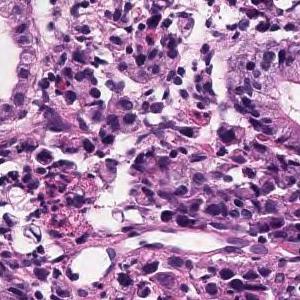
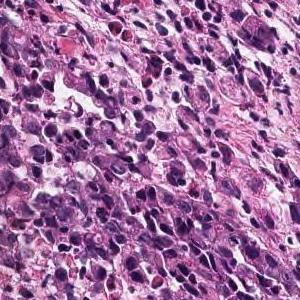
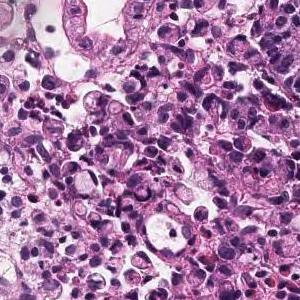
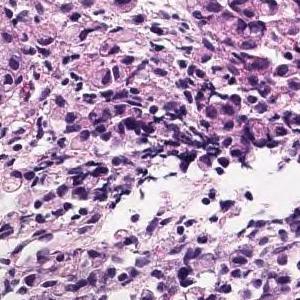
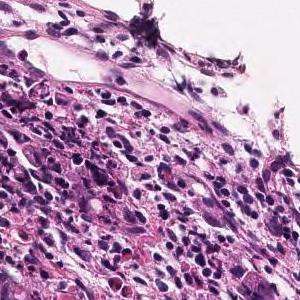
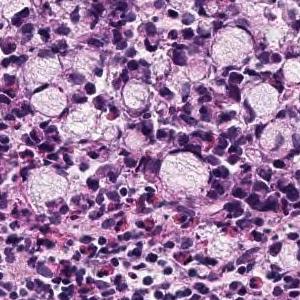
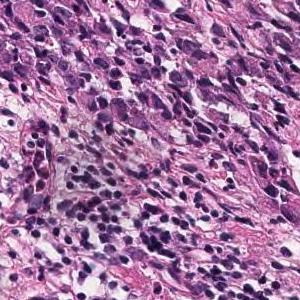
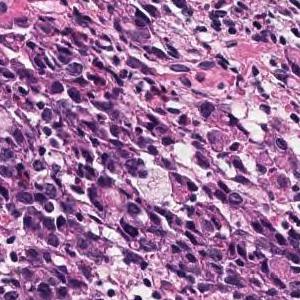
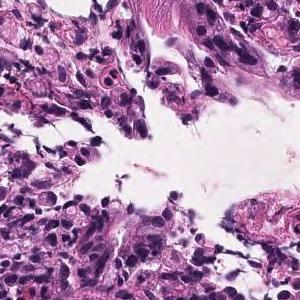
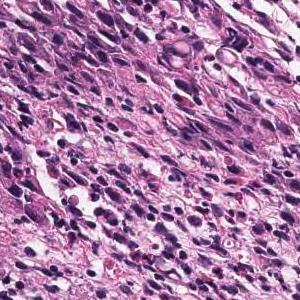
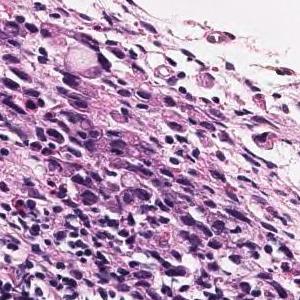
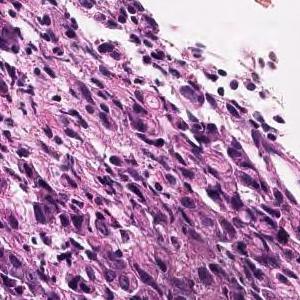
Scanned at ×20; hematoxylin and eosin stain; 12 patches cut from one gastric biopsy slide.
The pathologist's report on the biopsy slide these tiles were taken from. The report and the diagnosis cover the entire slide, so not every feature they name need be visible here, and some tissue shown may not be tumor.
Atypical epithelium with abundant mucus in the vesicles shows a solid growth without ductal construction. Signet ring cell carcinoma
